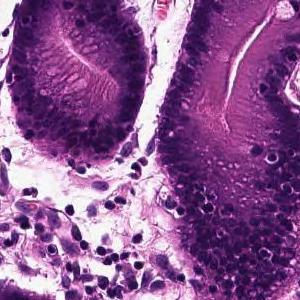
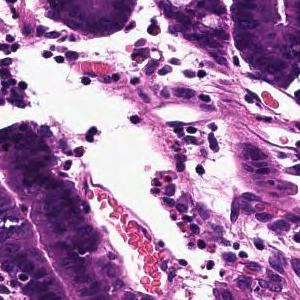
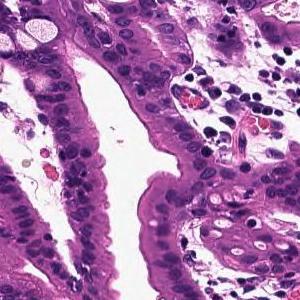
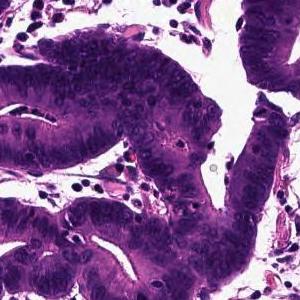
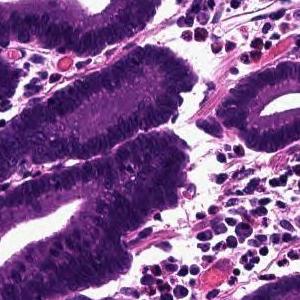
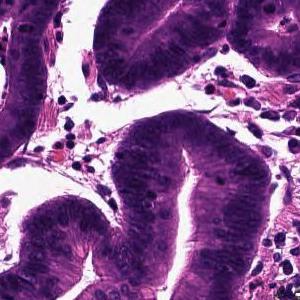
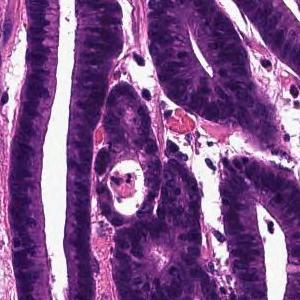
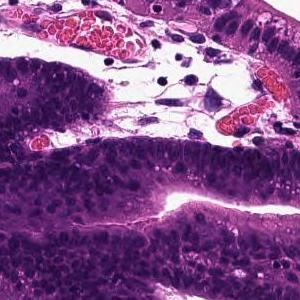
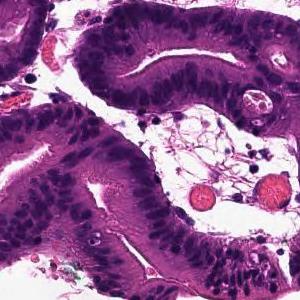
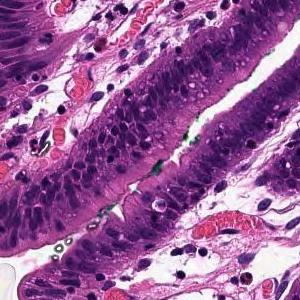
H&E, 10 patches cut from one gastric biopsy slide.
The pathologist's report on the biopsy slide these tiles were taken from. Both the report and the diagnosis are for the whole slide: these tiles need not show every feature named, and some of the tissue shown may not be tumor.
Tumor tissue that infiltrates by forming large papillary or large irregular glandular ducts is observed confined to the mucosa. Papillary adenocarcinoma
